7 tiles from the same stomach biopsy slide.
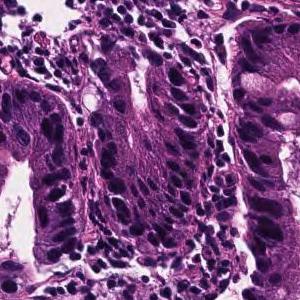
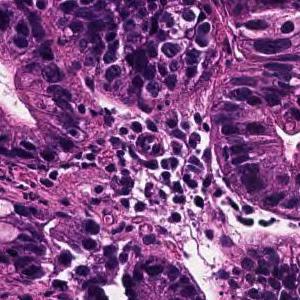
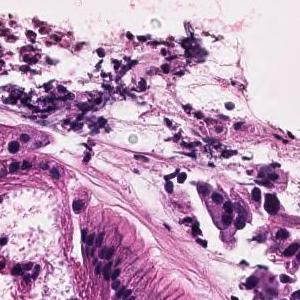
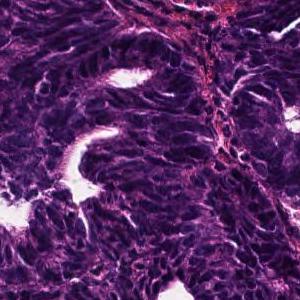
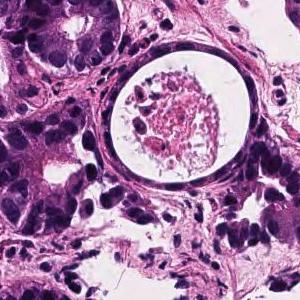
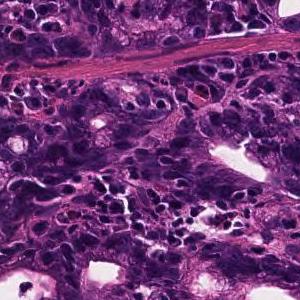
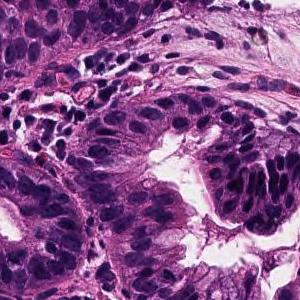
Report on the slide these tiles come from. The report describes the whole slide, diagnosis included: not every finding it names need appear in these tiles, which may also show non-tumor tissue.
Tumor cells are large, highly columnar, large club-shaped nuclei, and are associated with chromatin aggregation. Papillary adenocarcinoma.
